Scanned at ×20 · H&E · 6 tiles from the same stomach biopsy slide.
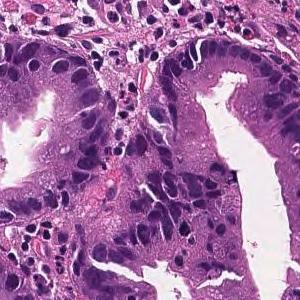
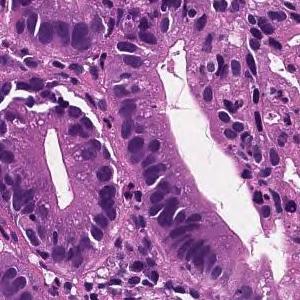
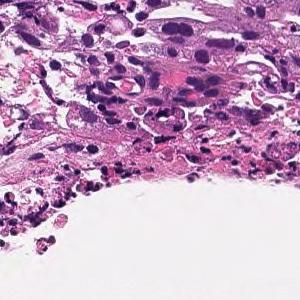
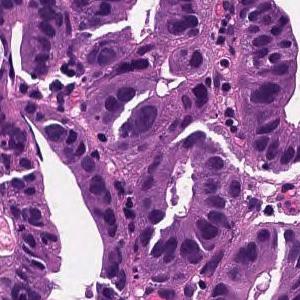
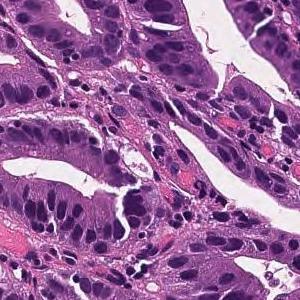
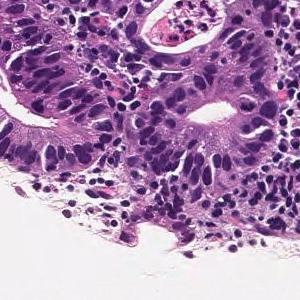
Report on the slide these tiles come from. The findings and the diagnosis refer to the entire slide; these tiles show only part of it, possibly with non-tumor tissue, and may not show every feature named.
From the superficial epithelium to the muscularis mucosae, tumor tissue consisting of medium-sized and irregular glandular ducts infiltrating is observed. Well differentiated tubular adenocarcinoma
